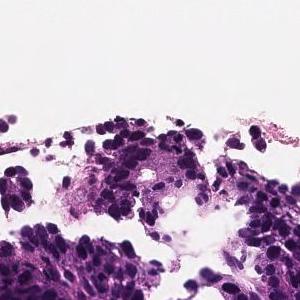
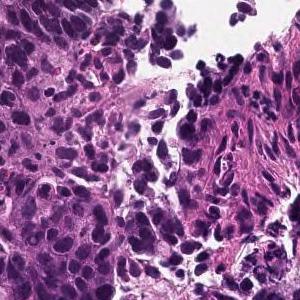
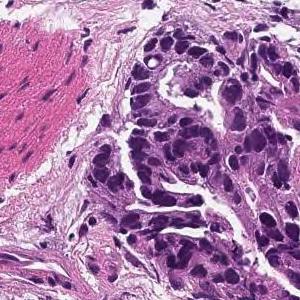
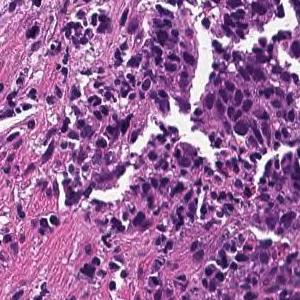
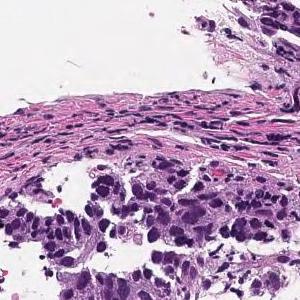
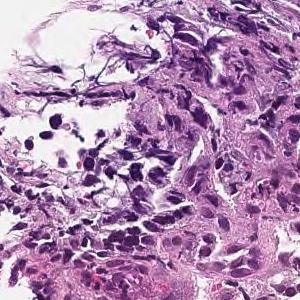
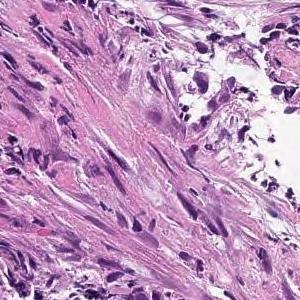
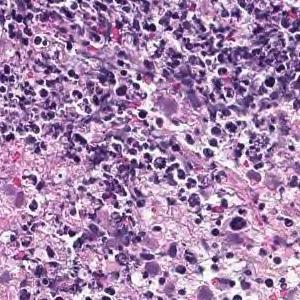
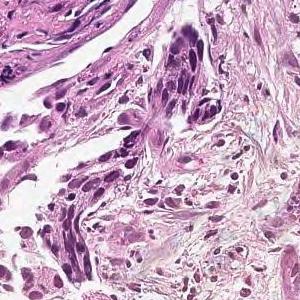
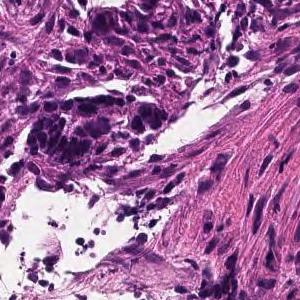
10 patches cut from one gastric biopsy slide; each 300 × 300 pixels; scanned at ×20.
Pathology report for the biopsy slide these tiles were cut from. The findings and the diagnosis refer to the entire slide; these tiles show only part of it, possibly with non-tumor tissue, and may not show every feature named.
In the superficial epithelium, tumor tissue that invades by forming medium-sized to small, irregular ducts is observed. moderately differentiated tubular adenocarcinoma.
